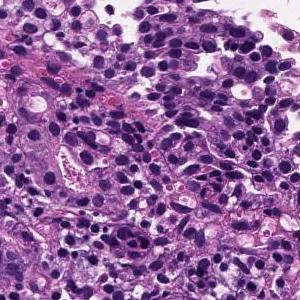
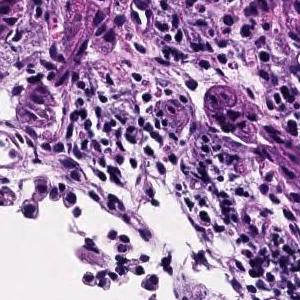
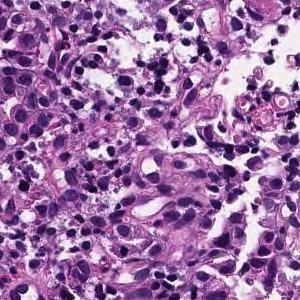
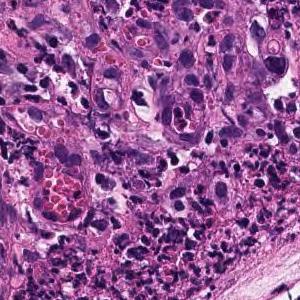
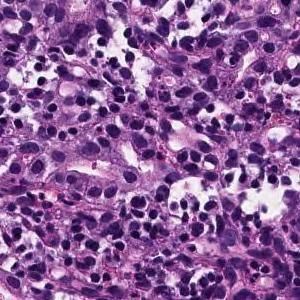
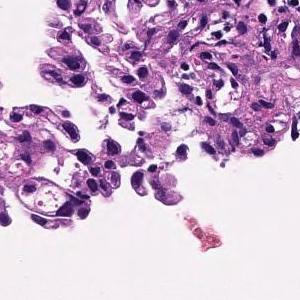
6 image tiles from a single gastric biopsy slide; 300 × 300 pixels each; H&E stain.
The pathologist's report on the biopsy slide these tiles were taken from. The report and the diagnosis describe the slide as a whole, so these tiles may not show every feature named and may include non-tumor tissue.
Medium to small, irregular glandular ducts are formed in the superficial epithelium, and in some cases, the glandular ducts are fused to show solid alveolar lesions and infiltrating tumor tissue is observed. Moderately to poorly differentiated adenocarcinoma.
